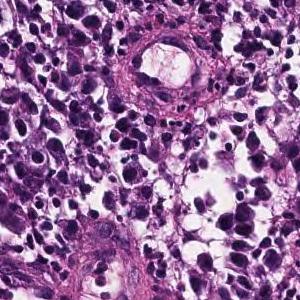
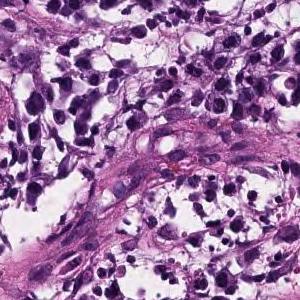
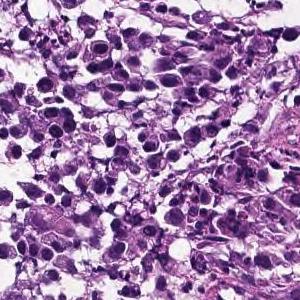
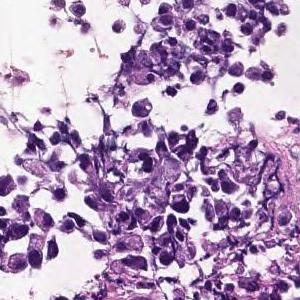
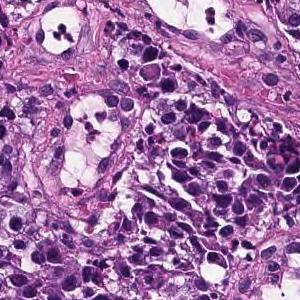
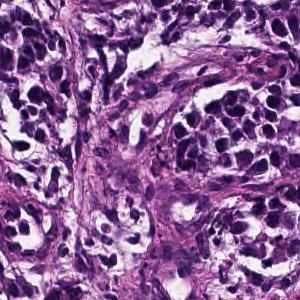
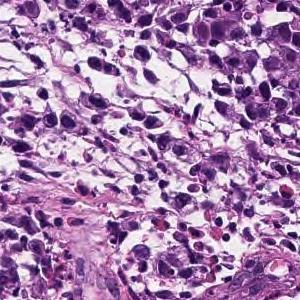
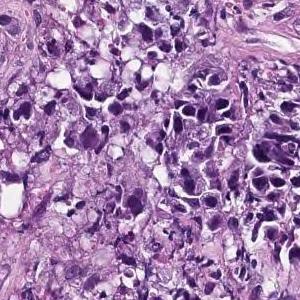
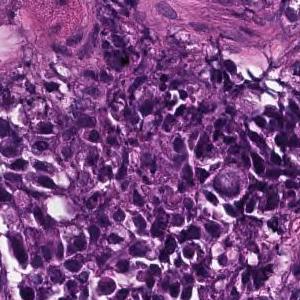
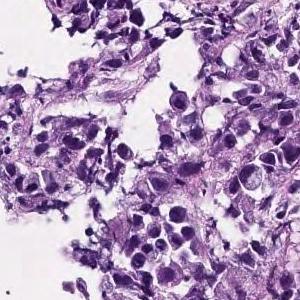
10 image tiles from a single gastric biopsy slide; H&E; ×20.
Pathology report for the biopsy slide these tiles were cut from. The report describes the whole slide, diagnosis included: not every finding it names need appear in these tiles, which may also show non-tumor tissue.
The superficial epithelium shows a small alveolar shape, and some tumor tissues infiltrate with a cord-like structure. Poorly differentiated adenocarcinoma, solid-type
Subtype: Poorly differentiated adenocarcinoma, solid type (Japanese Classification of Gastric Carcinoma). The WHO 2019 equivalent is tubular adenocarcinoma, poorly differentiated.
